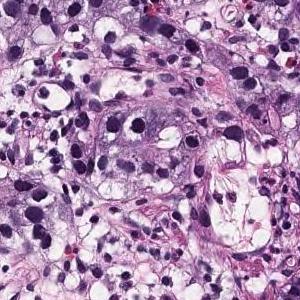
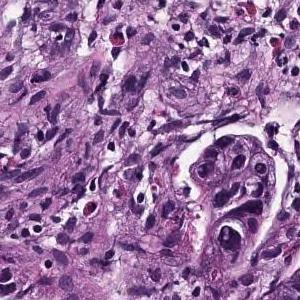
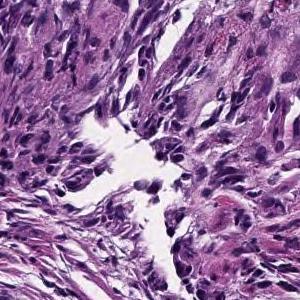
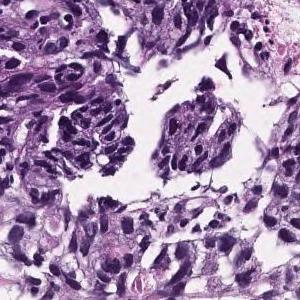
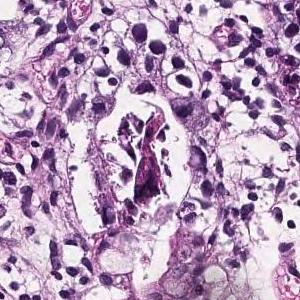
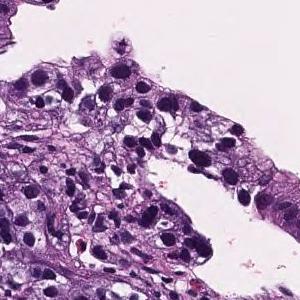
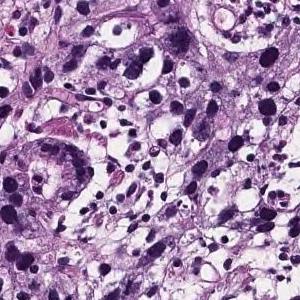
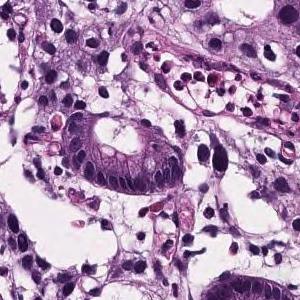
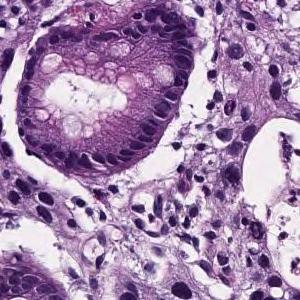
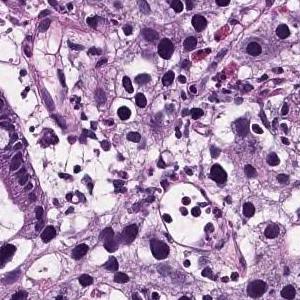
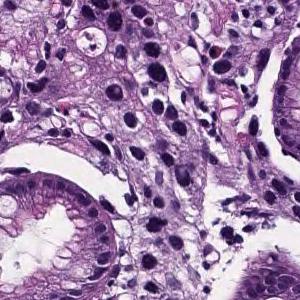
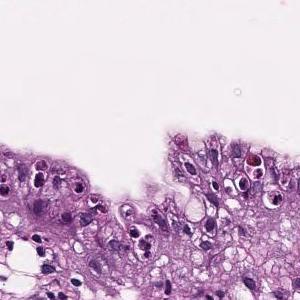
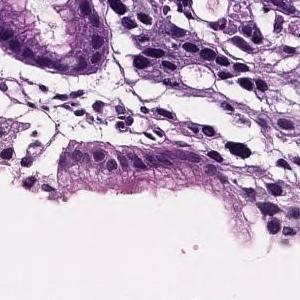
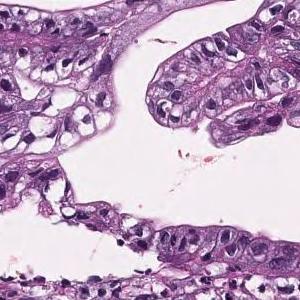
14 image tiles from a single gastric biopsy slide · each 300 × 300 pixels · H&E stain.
Diagnostic report for the slide these tiles come from. What the report and the diagnosis say applies to the whole slide; these tiles may miss some of the features named and may include tissue that is not tumor.
In the superficial epithelium, medium to small irregular gland ducts are formed, and in some cases, the ducts are fused to show solid alveolar lesions and infiltrating tumor tissue is observed. Moderately to poorly differentiated adenocarcinoma
